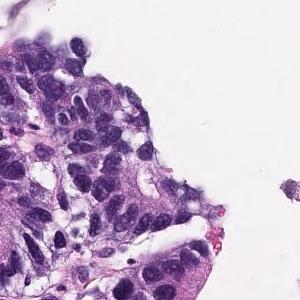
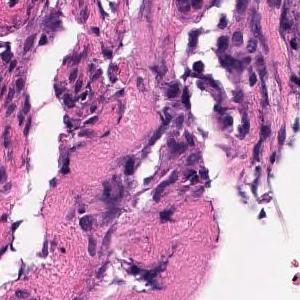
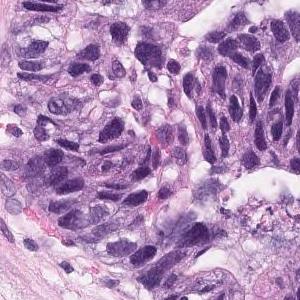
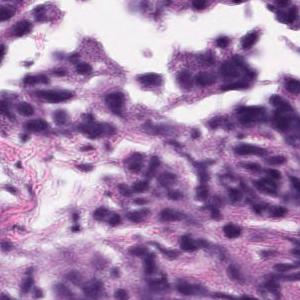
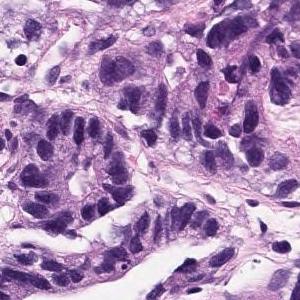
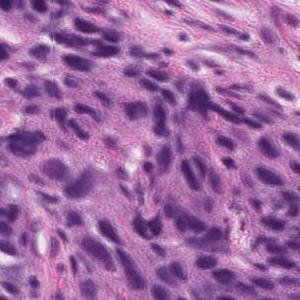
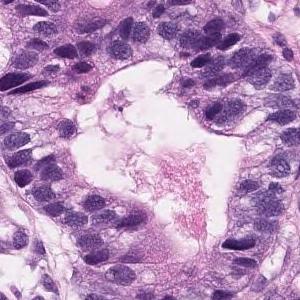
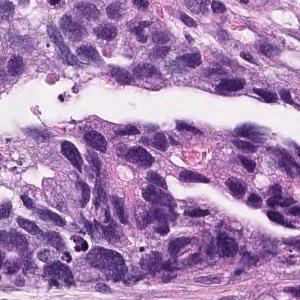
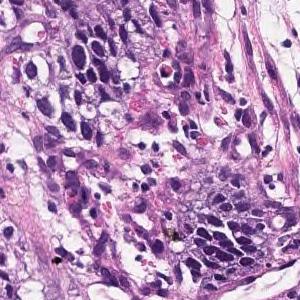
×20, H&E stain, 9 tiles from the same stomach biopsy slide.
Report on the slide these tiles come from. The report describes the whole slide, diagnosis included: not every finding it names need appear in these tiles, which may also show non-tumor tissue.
Medium to small, irregular glandular ducts are formed in the superficial epithelium, and in some cases, the glandular ducts are fused to show solid alveolar lesions and infiltrating tumor tissue is observed. Moderately to poorly differentiated adenocarcinoma.
